14 tiles cut from one stomach biopsy slide; 300 × 300 pixels each; 20× magnification; H&E stain.
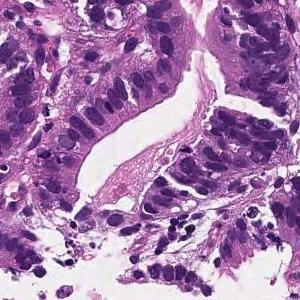
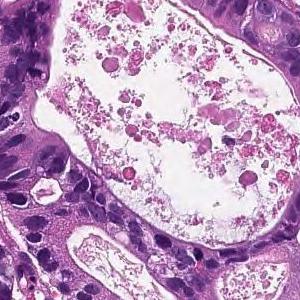
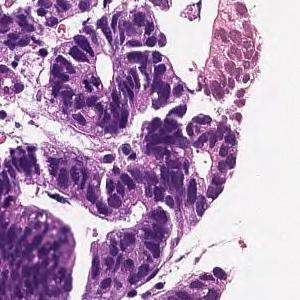
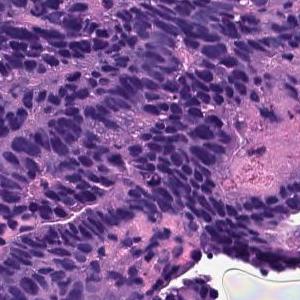
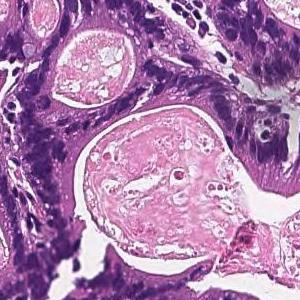
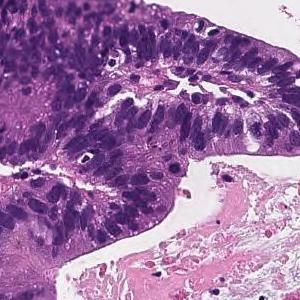
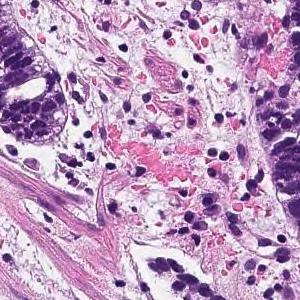
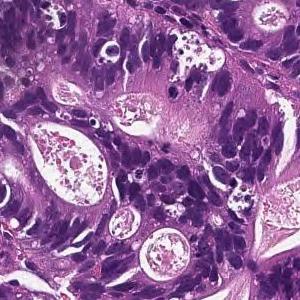
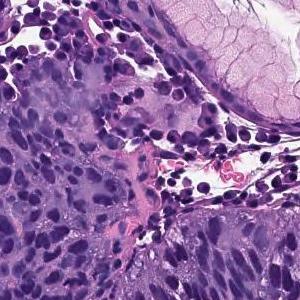
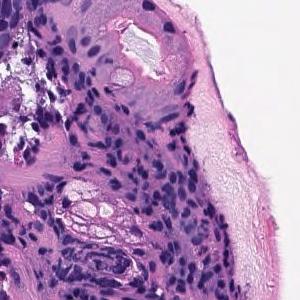
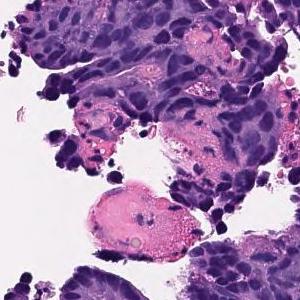
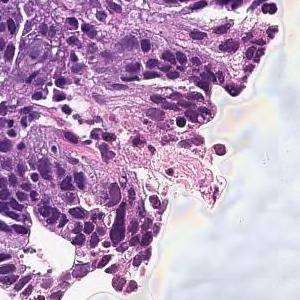
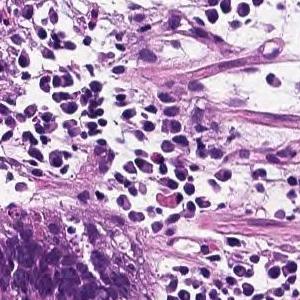
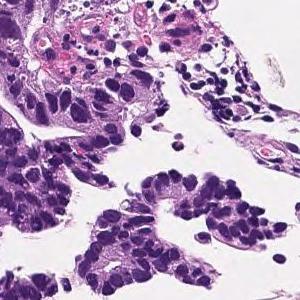
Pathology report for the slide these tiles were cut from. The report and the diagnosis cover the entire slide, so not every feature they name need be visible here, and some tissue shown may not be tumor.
In the superficial epithelium, tumor tissue that invades by forming medium-sized to small, irregular ducts is observed. moderately differentiated tubular adenocarcinoma.
